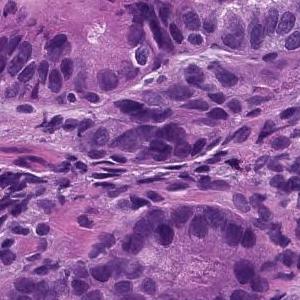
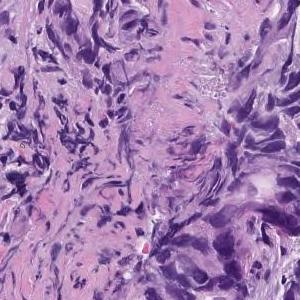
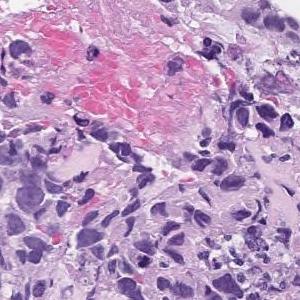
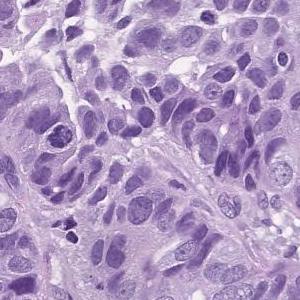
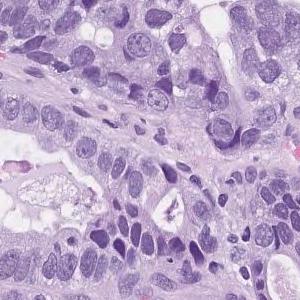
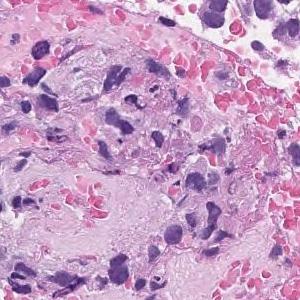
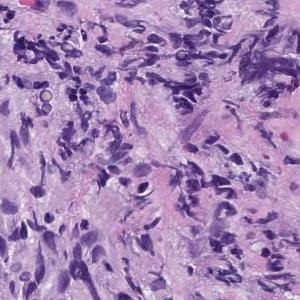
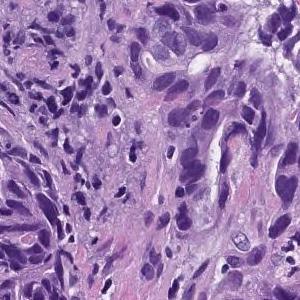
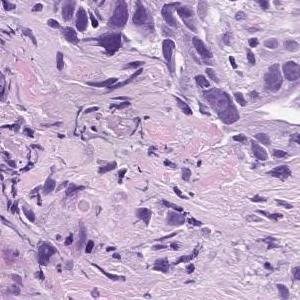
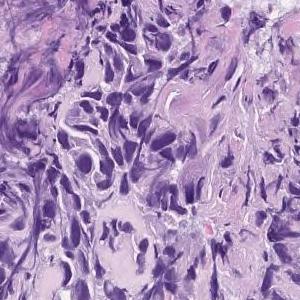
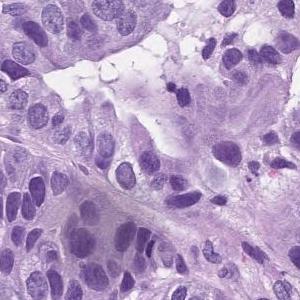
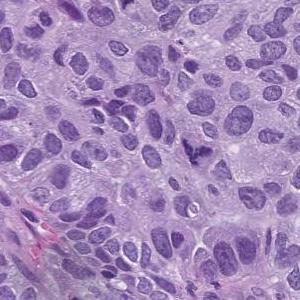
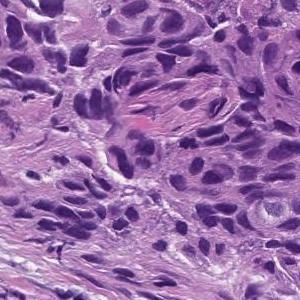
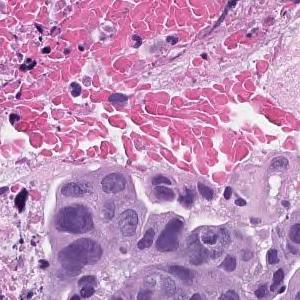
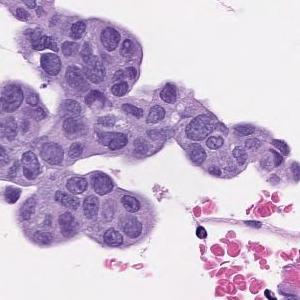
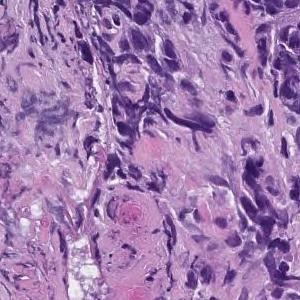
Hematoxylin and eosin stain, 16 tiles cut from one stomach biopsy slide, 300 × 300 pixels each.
Diagnostic report for the slide these tiles come from. The report and the diagnosis cover the entire slide, so not every feature they name need be visible here, and some tissue shown may not be tumor.
In the superficial epithelium, tumor tissue that invades by forming medium-sized to small, irregular ducts is observed. moderately differentiated tubular adenocarcinoma.
